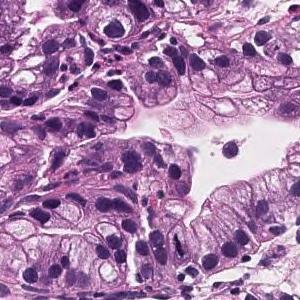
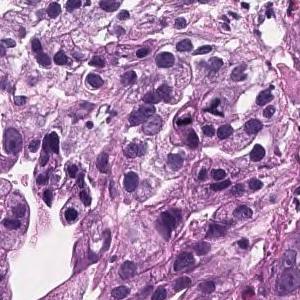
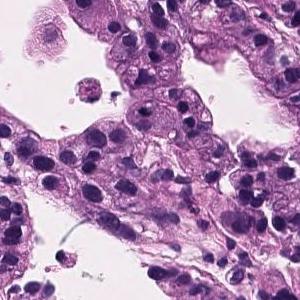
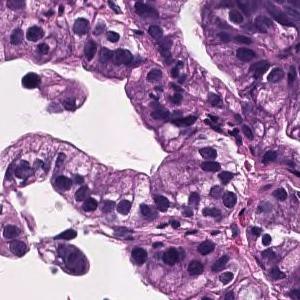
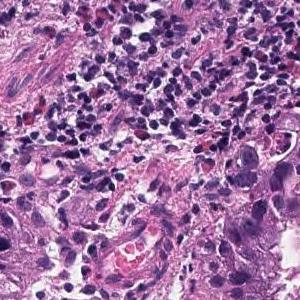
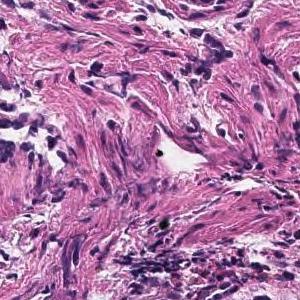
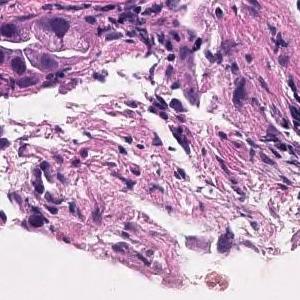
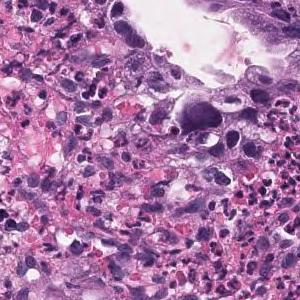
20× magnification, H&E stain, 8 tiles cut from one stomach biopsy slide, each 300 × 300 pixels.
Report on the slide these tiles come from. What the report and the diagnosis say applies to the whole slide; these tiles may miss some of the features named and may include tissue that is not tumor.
Tumor cells are large, highly columnar, large club-shaped nuclei, and are associated with chromatin aggregation. Papillary adenocarcinoma.
